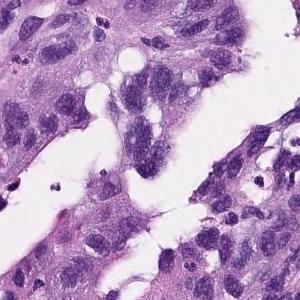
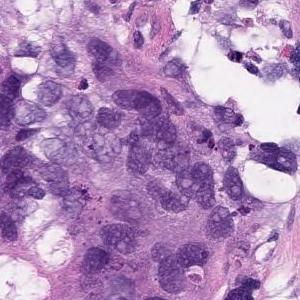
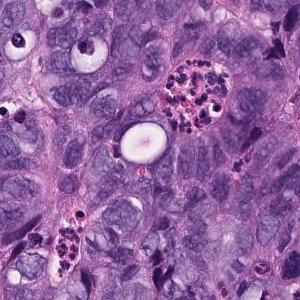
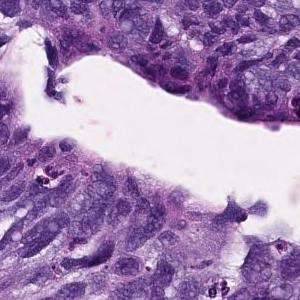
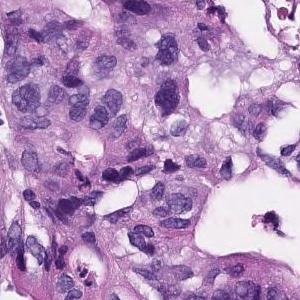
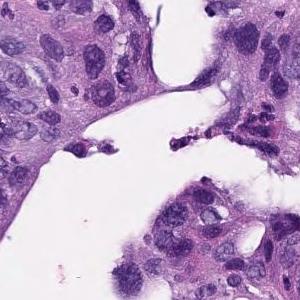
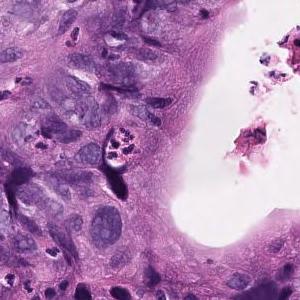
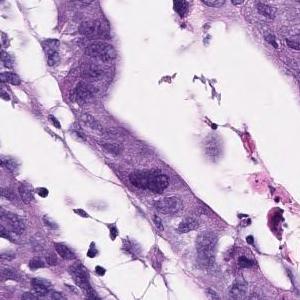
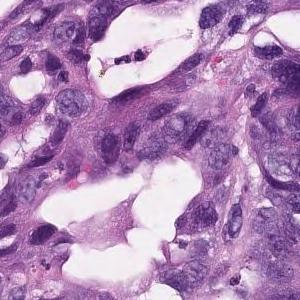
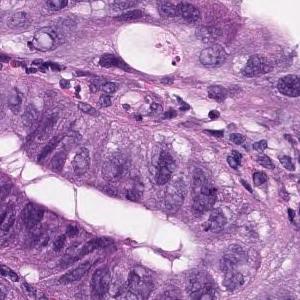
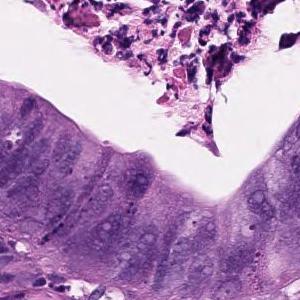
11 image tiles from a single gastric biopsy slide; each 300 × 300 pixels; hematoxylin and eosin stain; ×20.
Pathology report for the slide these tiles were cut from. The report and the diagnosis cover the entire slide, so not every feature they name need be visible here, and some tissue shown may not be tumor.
In the superficial epithelium, tumor tissue that invades by forming medium-sized to small, irregular ducts is observed. Moderately differentiated adenocarcinoma.
Classified as moderately differentiated tubular adenocarcinoma.
